H&E stain · scanned at ×20 · 5 patches cut from one gastric biopsy slide.
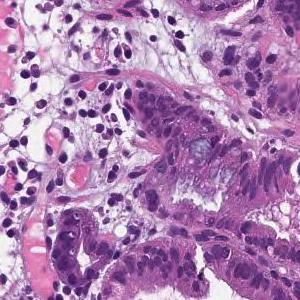
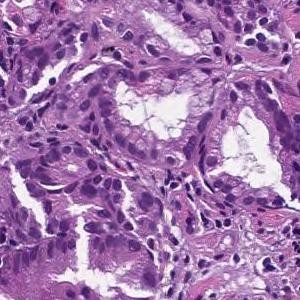
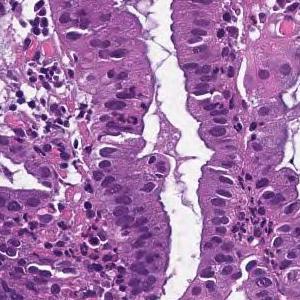
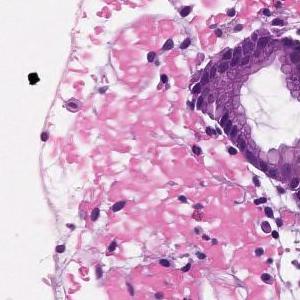
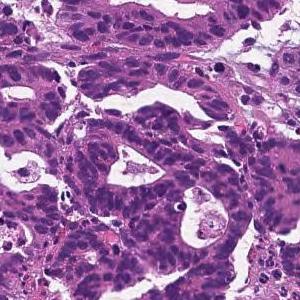
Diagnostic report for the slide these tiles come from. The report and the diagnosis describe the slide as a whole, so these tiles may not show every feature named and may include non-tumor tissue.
From the superficial epithelium to the muscularis mucosae, tumor tissue consisting of medium-sized and irregular glandular ducts infiltrating is observed. Well differentiated tubular adenocarcinoma
